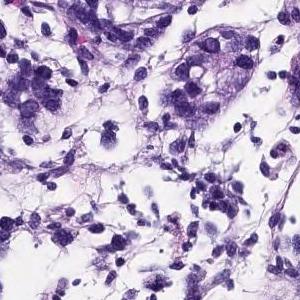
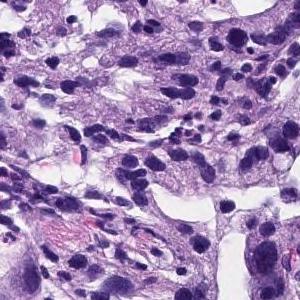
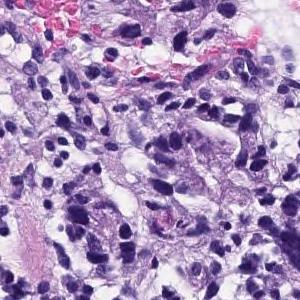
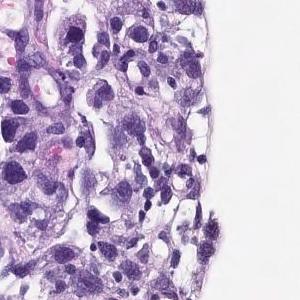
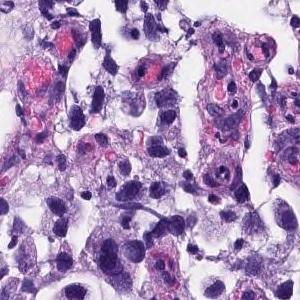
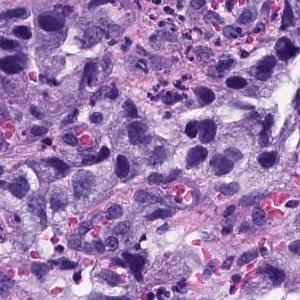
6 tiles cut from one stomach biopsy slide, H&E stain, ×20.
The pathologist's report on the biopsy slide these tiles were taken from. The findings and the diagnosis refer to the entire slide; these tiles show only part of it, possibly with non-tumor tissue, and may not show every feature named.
Medium to small, irregular glandular ducts are formed in the superficial epithelium, and in some cases, the glandular ducts are fused to show solid alveolar lesions and infiltrating tumor tissue is observed. Poorly differentiated adenocarcinoma, Moderately differentiated adenocarcinoma.
Labeled in the dataset as moderately differentiated tubular adenocarcinoma.
